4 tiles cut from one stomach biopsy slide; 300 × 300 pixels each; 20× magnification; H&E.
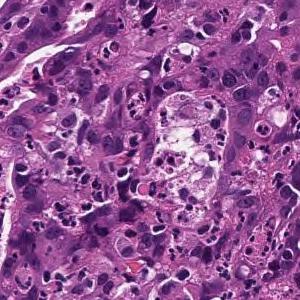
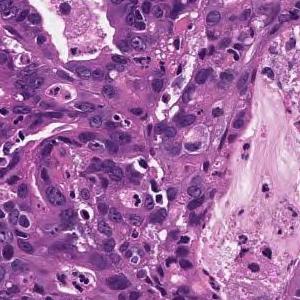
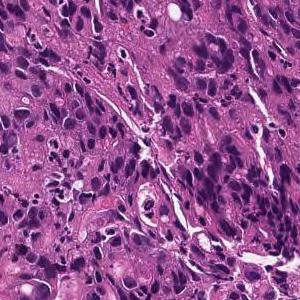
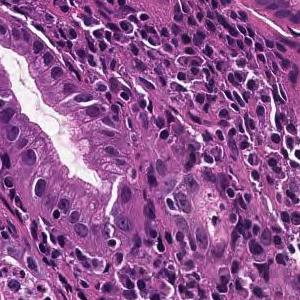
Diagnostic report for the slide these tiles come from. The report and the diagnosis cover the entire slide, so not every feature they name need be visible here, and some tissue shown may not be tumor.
In the superficial epithelium, tumor tissue that invades by forming medium-sized to small, irregular ducts is observed. moderately differentiated tubular adenocarcinoma.
